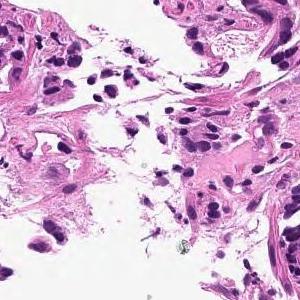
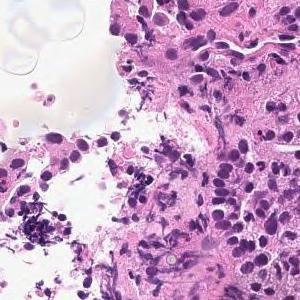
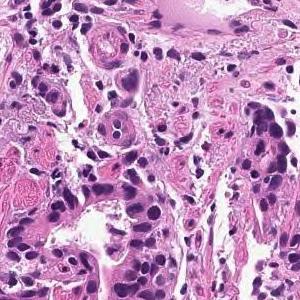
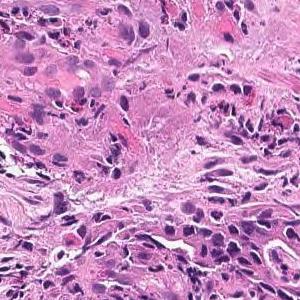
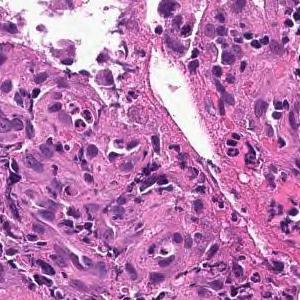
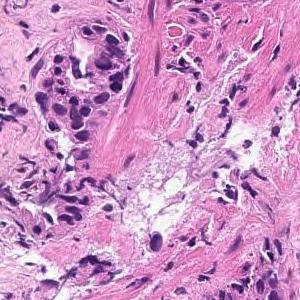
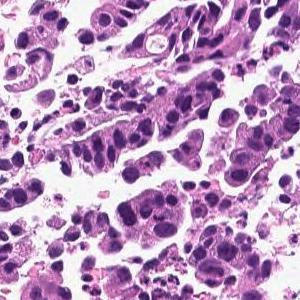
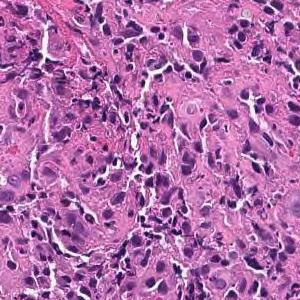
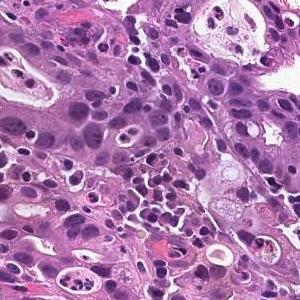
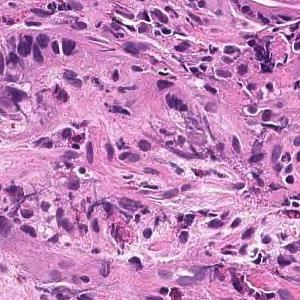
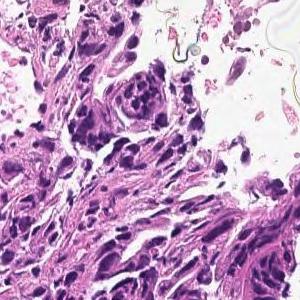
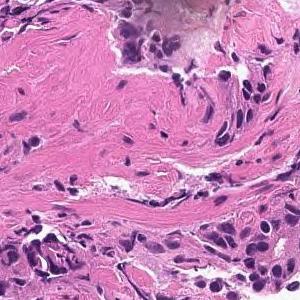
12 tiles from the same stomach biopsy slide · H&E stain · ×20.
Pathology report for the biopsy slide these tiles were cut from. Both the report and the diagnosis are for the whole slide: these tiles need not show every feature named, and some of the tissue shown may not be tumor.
On the superficial epithelium, tumor tissue consisting of large irregular glandular ducts partially fused and infiltrated is observed. Well to moderately differentiated tubular adenocarcinoma (well differentiated tubular adenocarcinoma, moderately differentiated tubular adenocarcinoma)
Histologic type: Well to moderately differentiated tubular adenocarcinoma.
